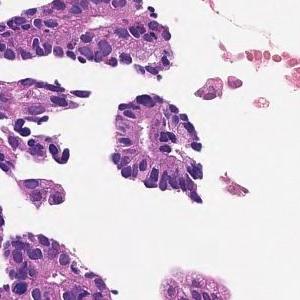
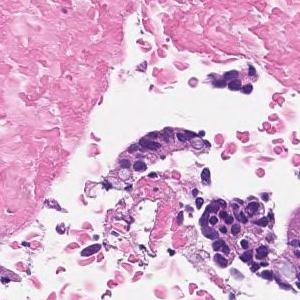
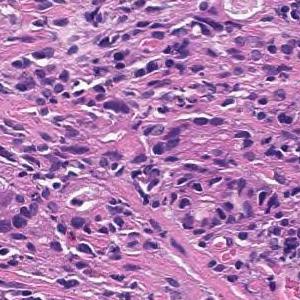
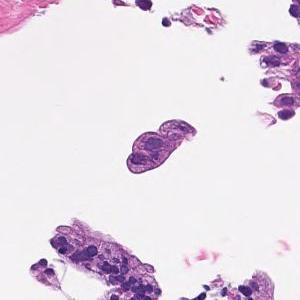
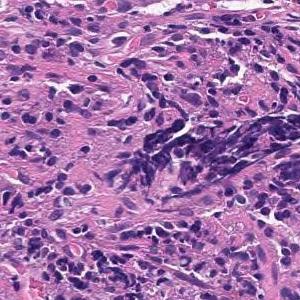
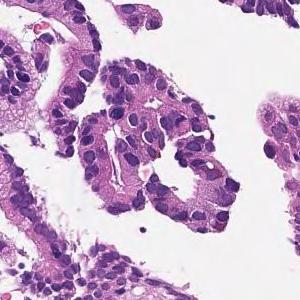
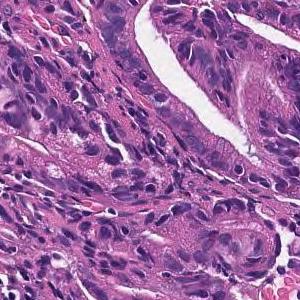
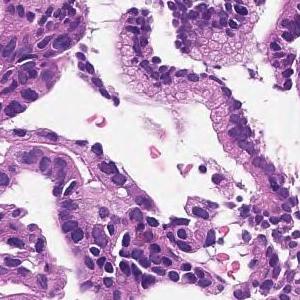
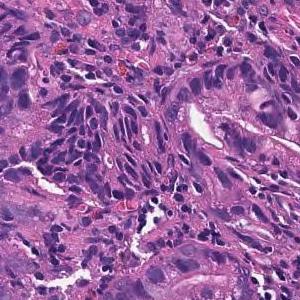
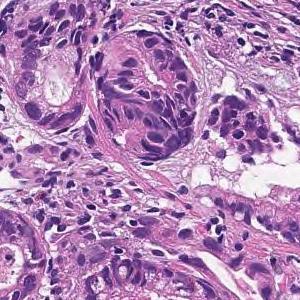
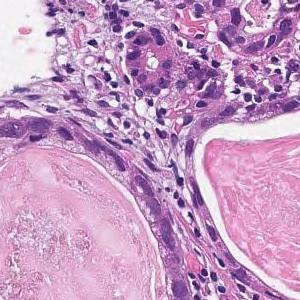
11 tiles cut from one stomach biopsy slide, 300×300 px each, H&E, scanned at ×20.
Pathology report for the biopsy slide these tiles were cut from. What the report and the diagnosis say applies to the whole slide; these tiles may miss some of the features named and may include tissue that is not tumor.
In the superficial epithelium, tumor tissue that invades by forming medium-sized to small, irregular ducts is observed. moderately differentiated tubular adenocarcinoma.
